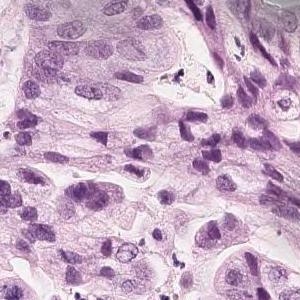
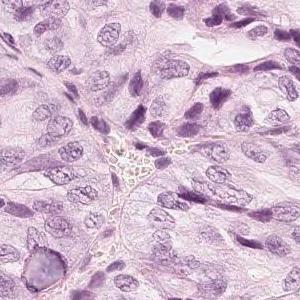
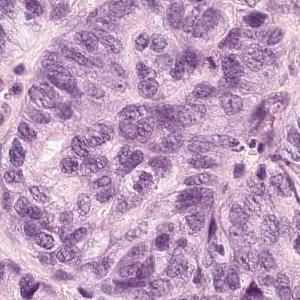
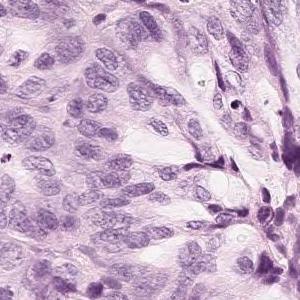
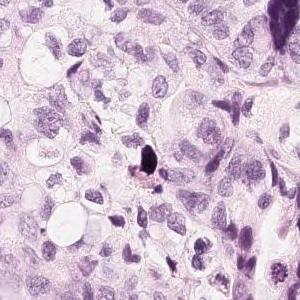
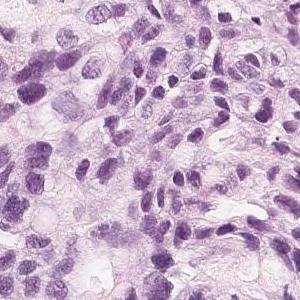
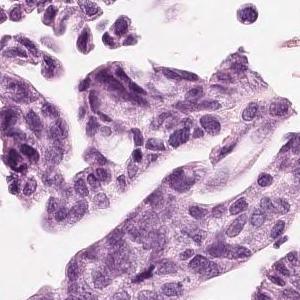
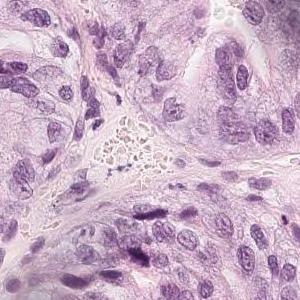
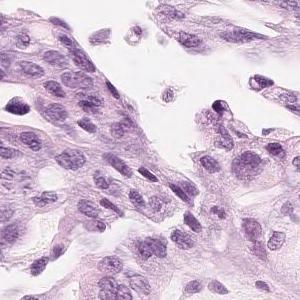
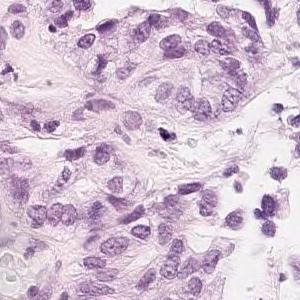
10 patches cut from one gastric biopsy slide, each 300 × 300 pixels, scanned at ×20, hematoxylin and eosin stain.
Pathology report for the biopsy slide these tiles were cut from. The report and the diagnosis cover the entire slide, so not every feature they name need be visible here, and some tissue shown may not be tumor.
Tumor tissue in which medium-sized atypical epithelial cells with a large N/C ratio grow densely while becoming alveolar to cord-like with duct formation is observed. moderately differentiated tubular adenocarcinoma
